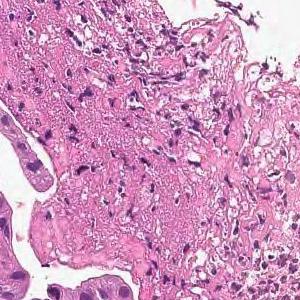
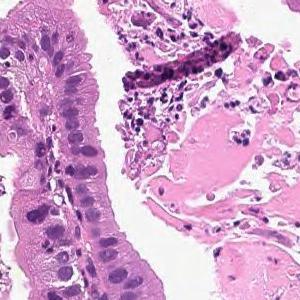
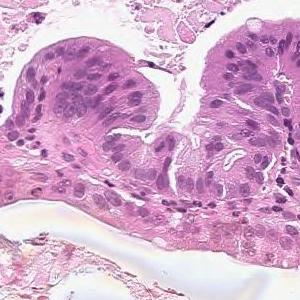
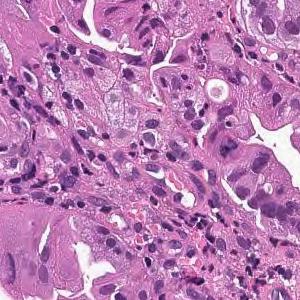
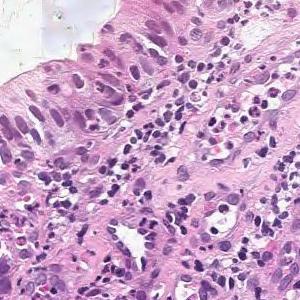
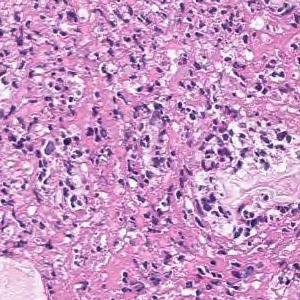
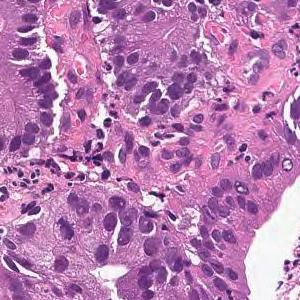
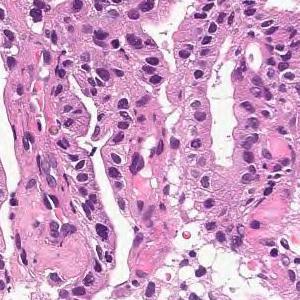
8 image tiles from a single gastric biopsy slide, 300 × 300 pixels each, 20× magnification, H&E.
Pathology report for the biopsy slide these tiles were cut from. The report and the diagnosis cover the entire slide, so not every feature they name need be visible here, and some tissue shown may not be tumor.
From the superficial epithelium to the muscularis mucosae, tumor tissue consisting of medium-sized and irregular glandular ducts infiltrating is observed. Well differentiated tubular adenocarcinoma
